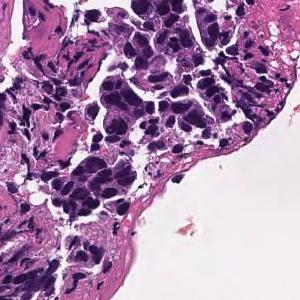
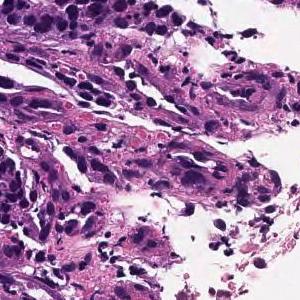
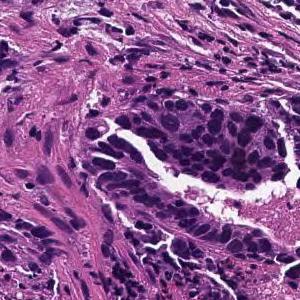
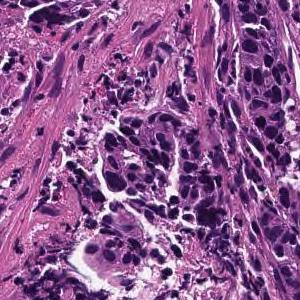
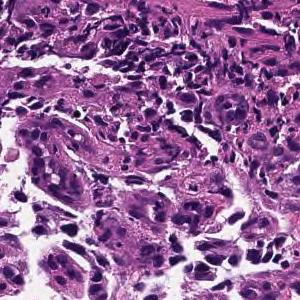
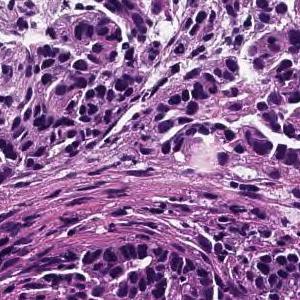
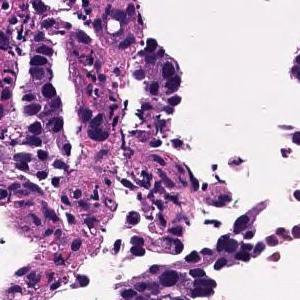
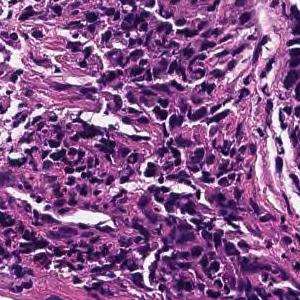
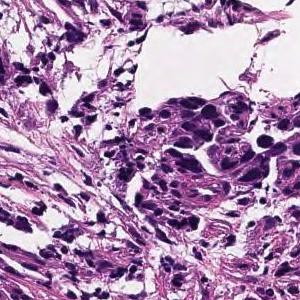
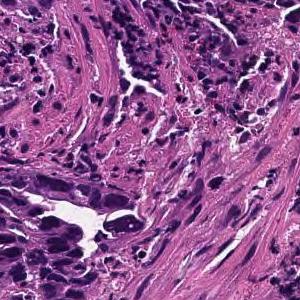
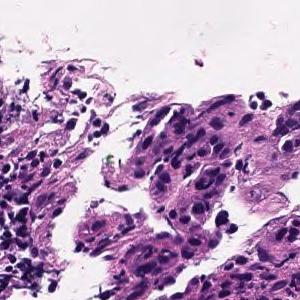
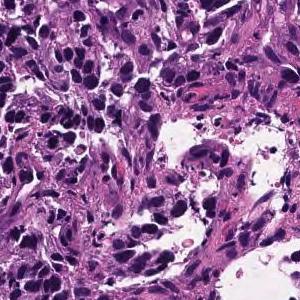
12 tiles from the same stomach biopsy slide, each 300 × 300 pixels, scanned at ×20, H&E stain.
Pathology report for the biopsy slide these tiles were cut from. The report describes the whole slide, diagnosis included: not every finding it names need appear in these tiles, which may also show non-tumor tissue.
In the superficial epithelium, tumor tissue that invades by forming medium-sized to small, irregular ducts is observed. moderately differentiated tubular adenocarcinoma.
